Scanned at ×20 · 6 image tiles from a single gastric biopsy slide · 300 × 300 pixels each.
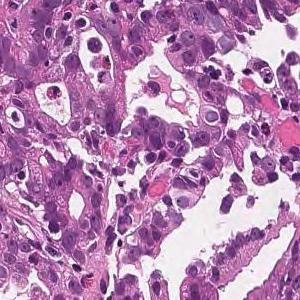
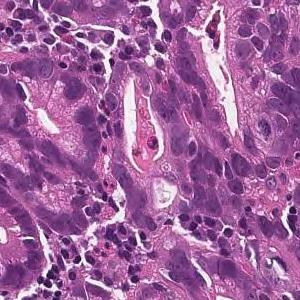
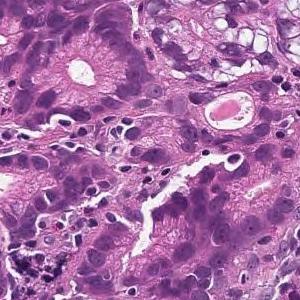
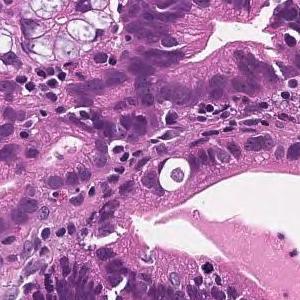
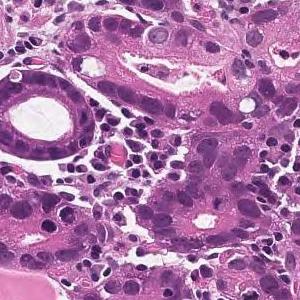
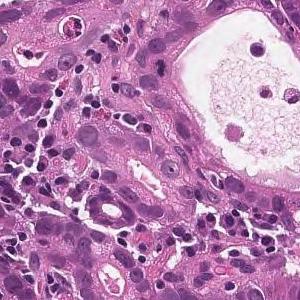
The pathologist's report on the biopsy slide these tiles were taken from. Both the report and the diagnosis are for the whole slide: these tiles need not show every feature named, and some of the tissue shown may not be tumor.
From the superficial epithelium to the muscularis mucosae, tumor tissue consisting of medium-sized and irregular glandular ducts infiltrating is observed. Well differentiated tubular adenocarcinoma
